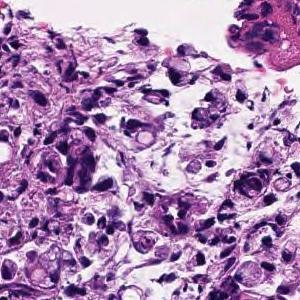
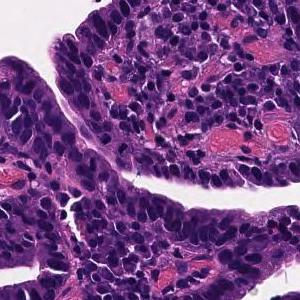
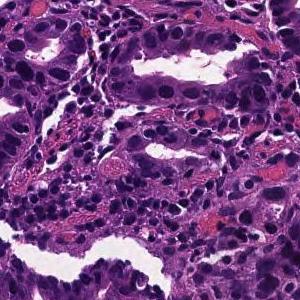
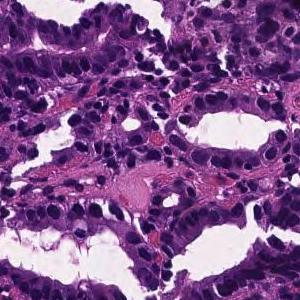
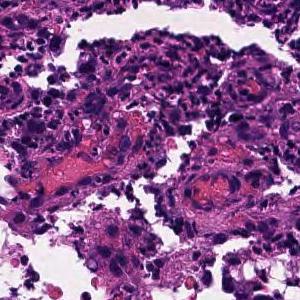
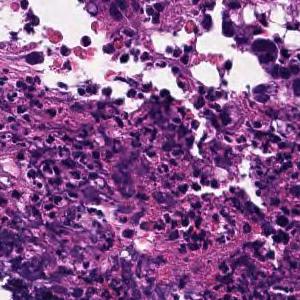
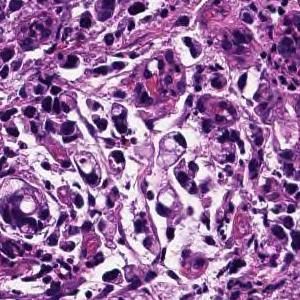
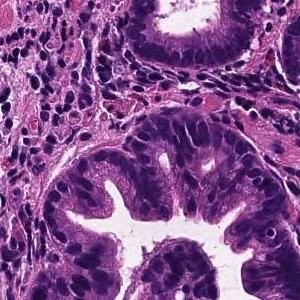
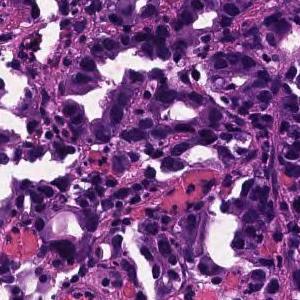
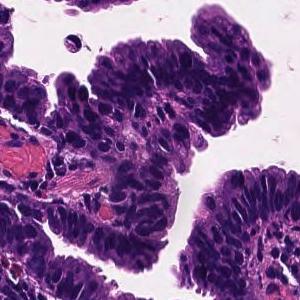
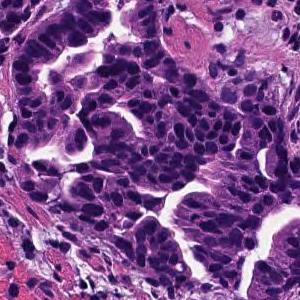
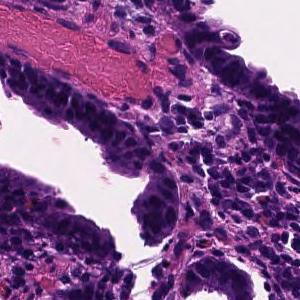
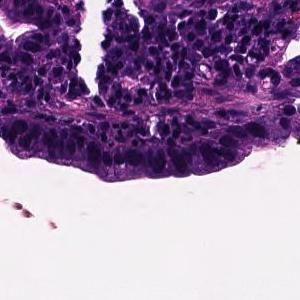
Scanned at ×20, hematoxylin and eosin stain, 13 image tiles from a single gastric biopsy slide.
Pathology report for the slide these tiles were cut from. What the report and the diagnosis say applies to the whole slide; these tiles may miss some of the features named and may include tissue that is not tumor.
On the superficial epithelium, tumor tissue that infiltrates by forming medium-sized papillary or small irregular ducts is observed. Papillary adenocarcinoma
